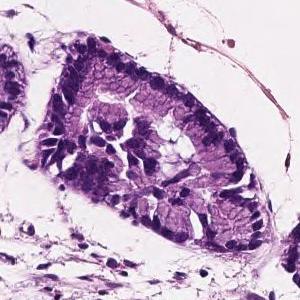
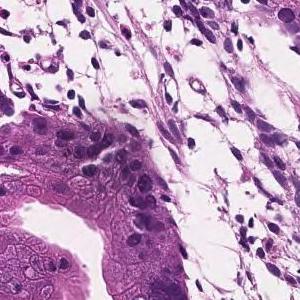
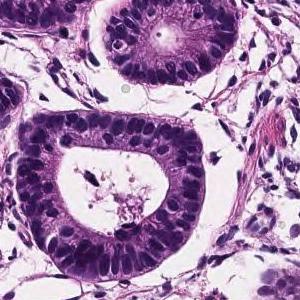
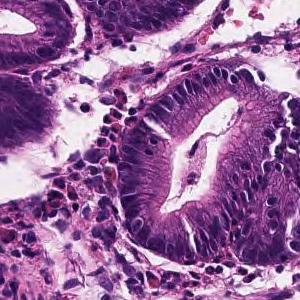
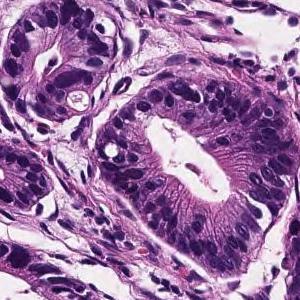
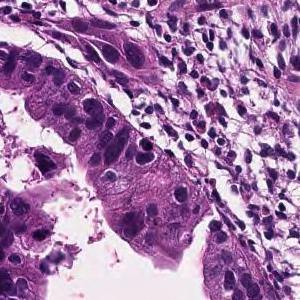
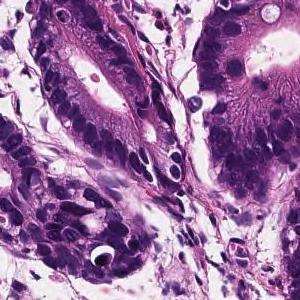
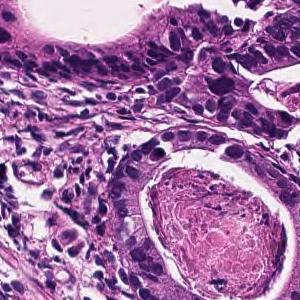
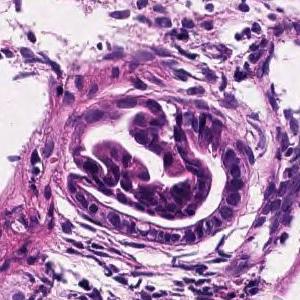
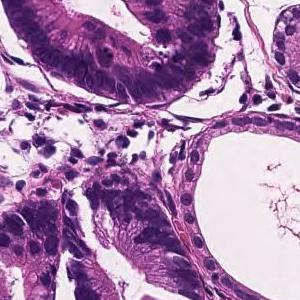
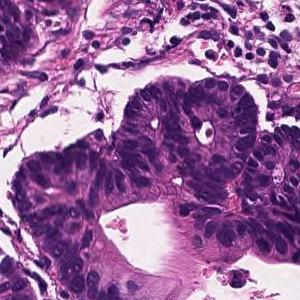
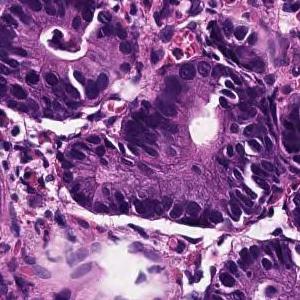
12 tiles cut from one stomach biopsy slide · each 300 × 300 pixels · H&E · 20× magnification.
The pathologist's report on the biopsy slide these tiles were taken from. The findings and the diagnosis refer to the entire slide; these tiles show only part of it, possibly with non-tumor tissue, and may not show every feature named.
Tumor tissue that grows invasively while the short atypical epithelium forms irregular ducts is observed. Well differentiated tubular adenocarcinoma
